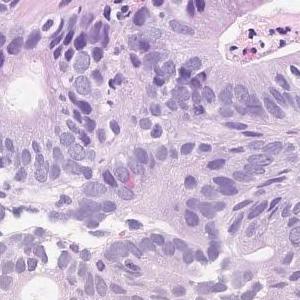
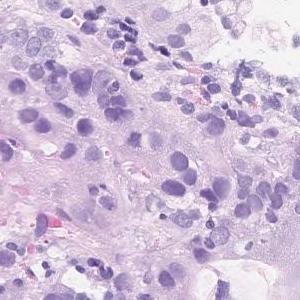
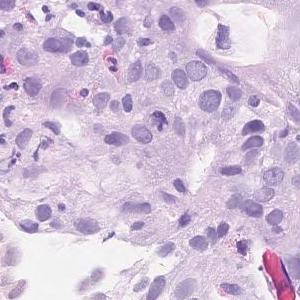
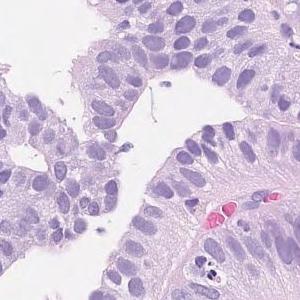
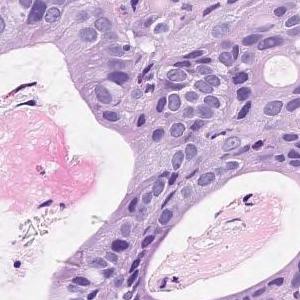
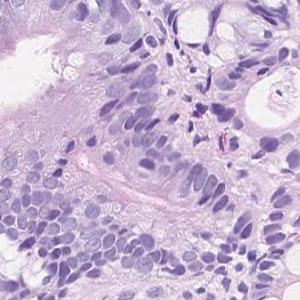
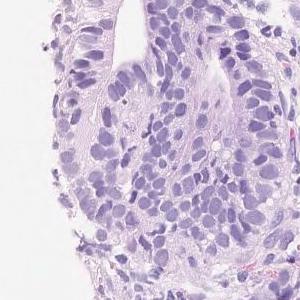
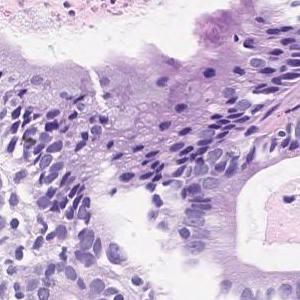
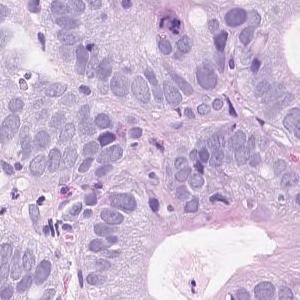
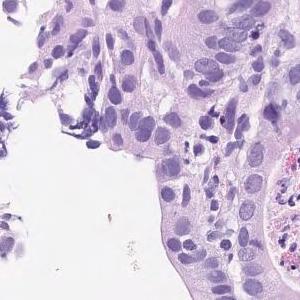
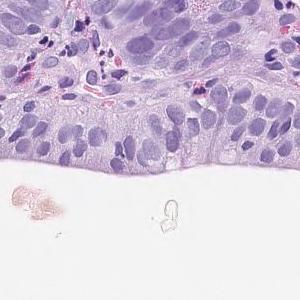
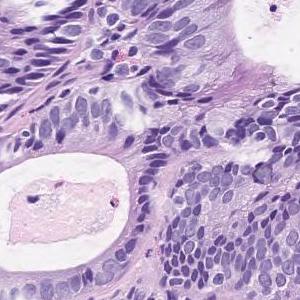
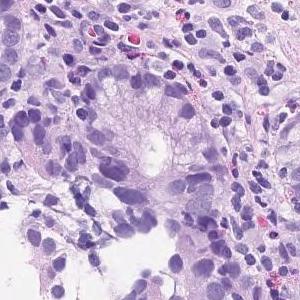
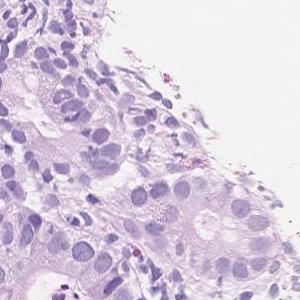
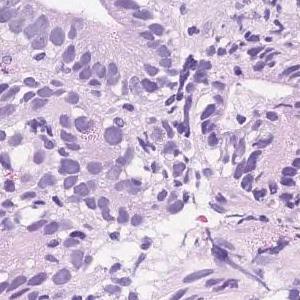
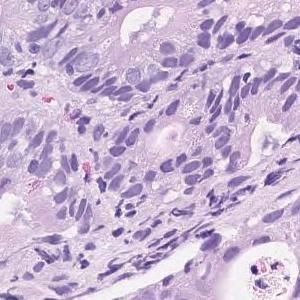
16 tiles from the same stomach biopsy slide; scanned at ×20; H&E stain.
Pathology report for the biopsy slide these tiles were cut from. The report and the diagnosis describe the slide as a whole, so these tiles may not show every feature named and may include non-tumor tissue.
On the superficial epithelium, tumor tissue consisting of medium to small irregular tubules partially fused and proliferated is observed. moderately differentiated tubular adenocarcinoma
